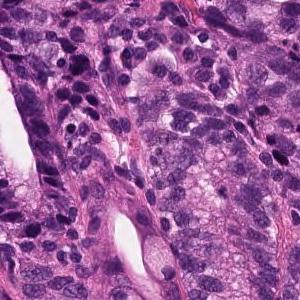
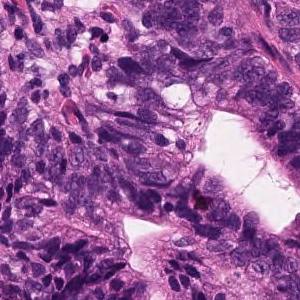
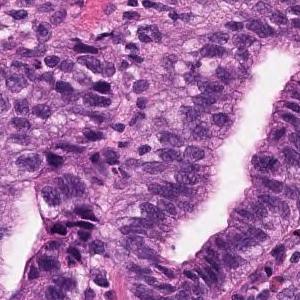
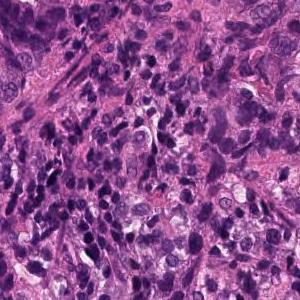
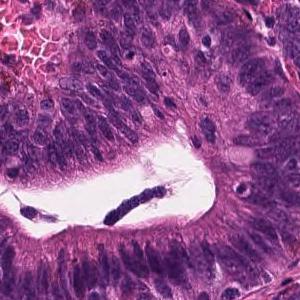
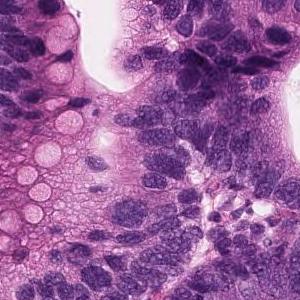
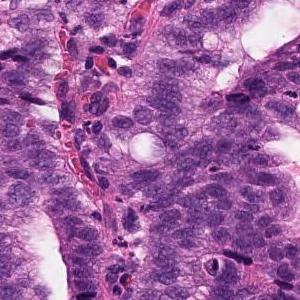
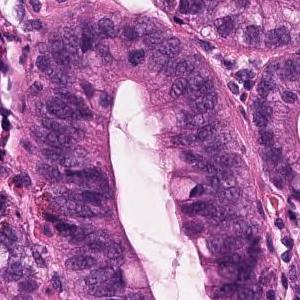
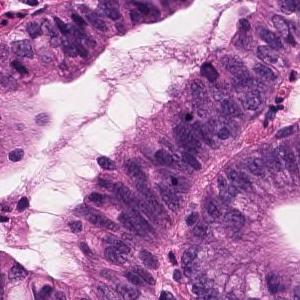
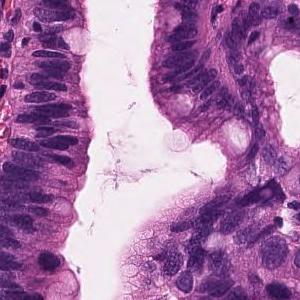
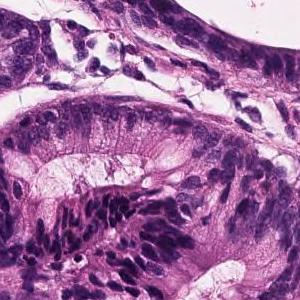
Hematoxylin and eosin stain; 11 patches cut from one gastric biopsy slide.
Report on the slide these tiles come from. Both the report and the diagnosis are for the whole slide: these tiles need not show every feature named, and some of the tissue shown may not be tumor.
In the superficial epithelium, tumor tissue that invades by forming medium-sized to small, irregular ducts is observed. Moderately differentiated adenocarcinoma.
Histologic type: Moderately differentiated tubular adenocarcinoma.
